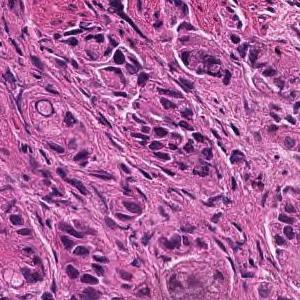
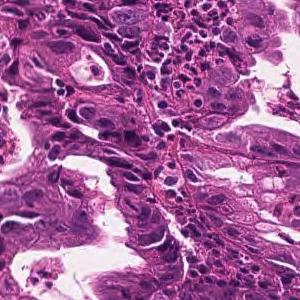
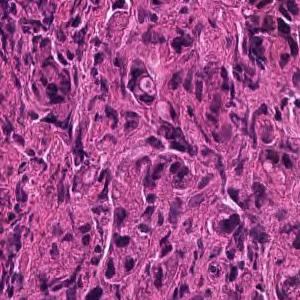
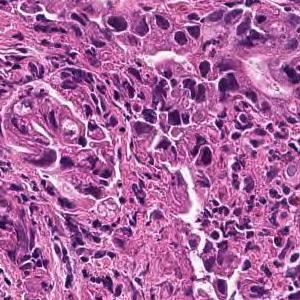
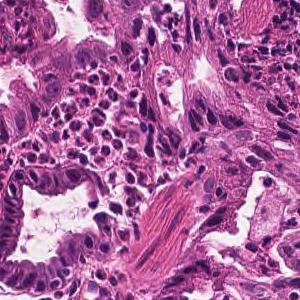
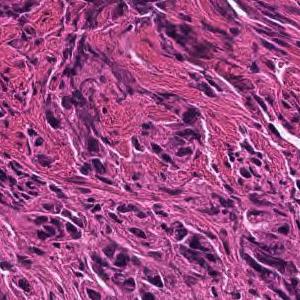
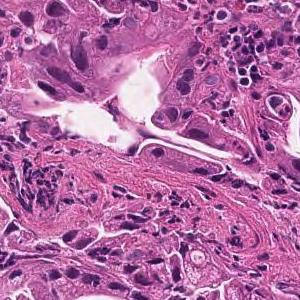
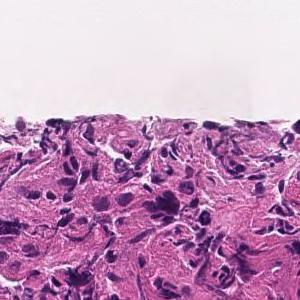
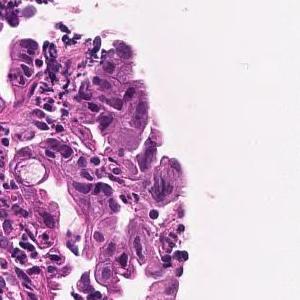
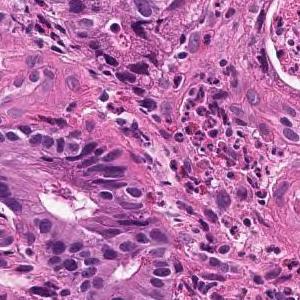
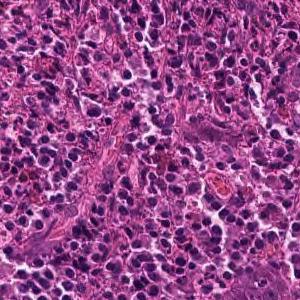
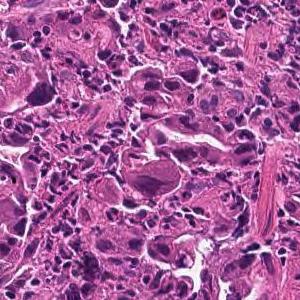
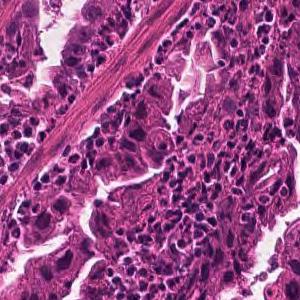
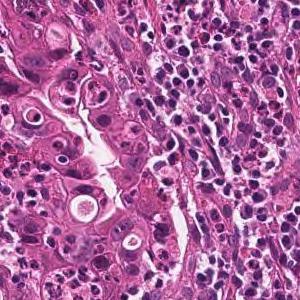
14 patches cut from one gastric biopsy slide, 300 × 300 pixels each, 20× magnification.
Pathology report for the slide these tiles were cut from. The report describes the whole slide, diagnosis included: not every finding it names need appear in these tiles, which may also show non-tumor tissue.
Medium to small, irregular glandular ducts are formed in the superficial epithelium, and in some cases, the glandular ducts are fused to show solid alveolar lesions and infiltrating tumor tissue is observed. Moderately to poorly differentiated adenocarcinoma.
